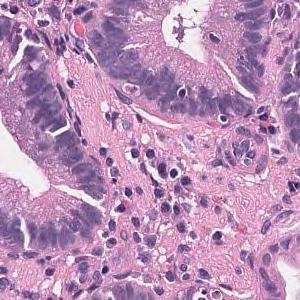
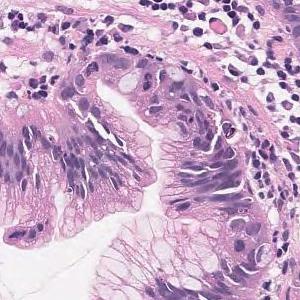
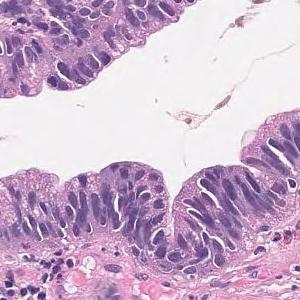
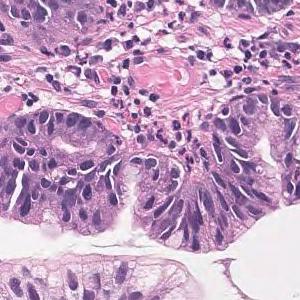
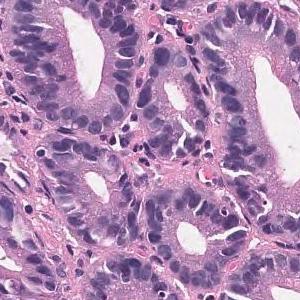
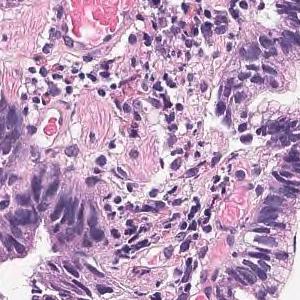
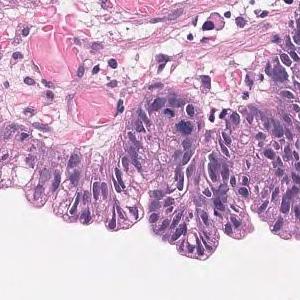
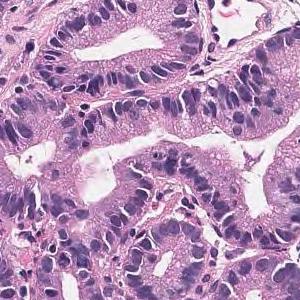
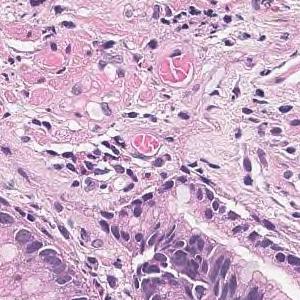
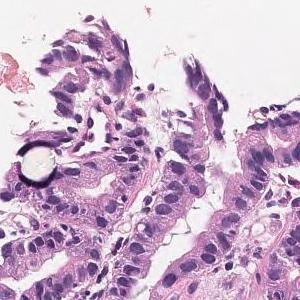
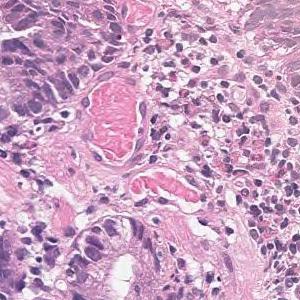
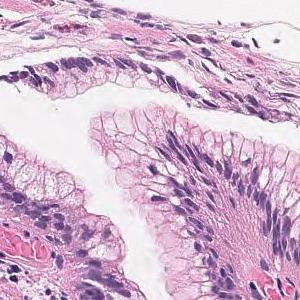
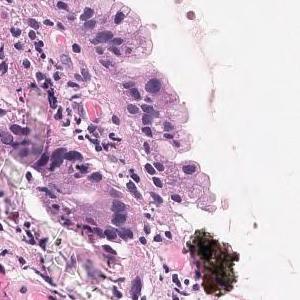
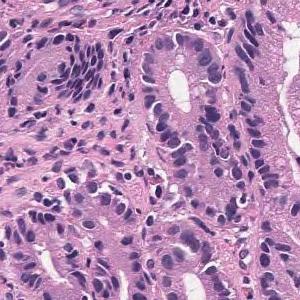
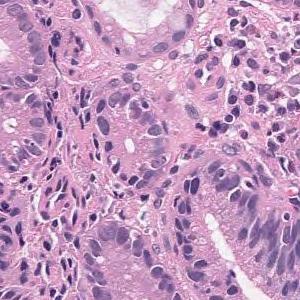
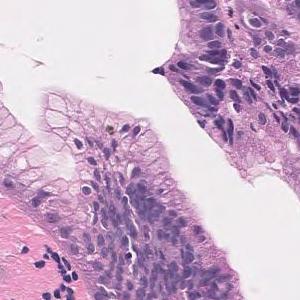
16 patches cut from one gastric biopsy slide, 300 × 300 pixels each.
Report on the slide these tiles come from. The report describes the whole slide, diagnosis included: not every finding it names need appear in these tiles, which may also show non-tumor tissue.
Tumor tissue that grows tubular from the surface to the glandular fossa is seen. Adenocarcinoma.
Tumor subtype: well differentiated tubular adenocarcinoma.
